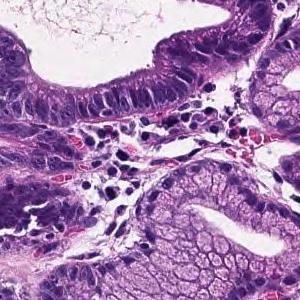
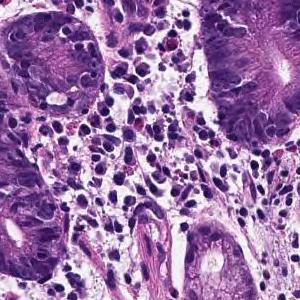
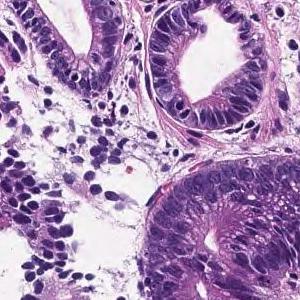
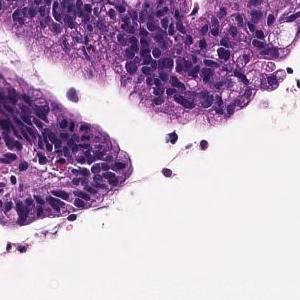
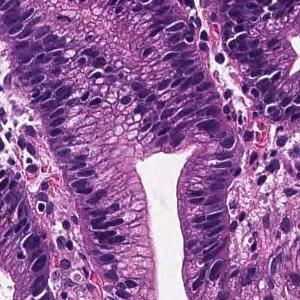
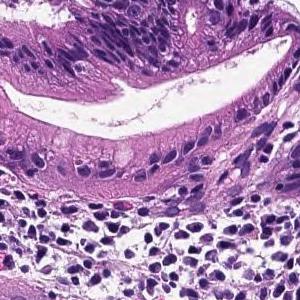
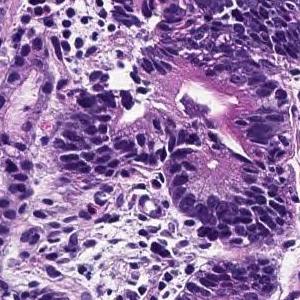
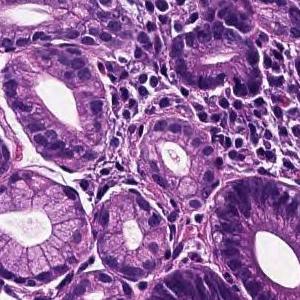
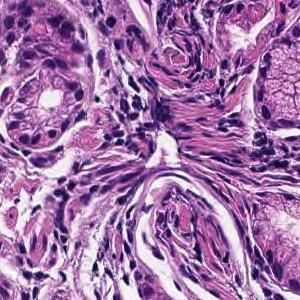
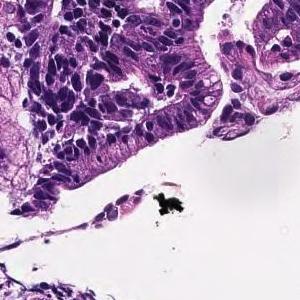
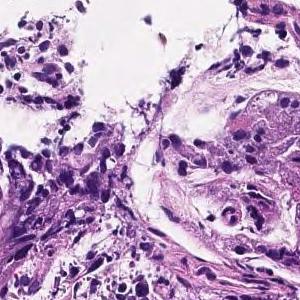
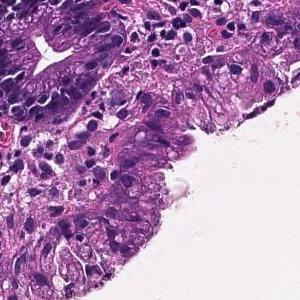
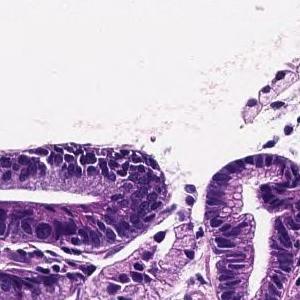
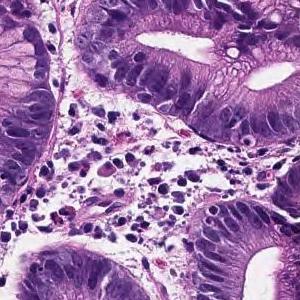
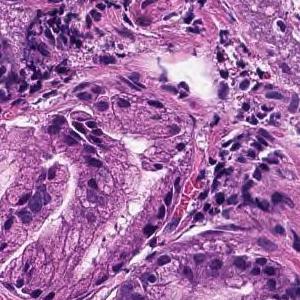
Hematoxylin and eosin stain; scanned at ×20; 15 image tiles from a single gastric biopsy slide.
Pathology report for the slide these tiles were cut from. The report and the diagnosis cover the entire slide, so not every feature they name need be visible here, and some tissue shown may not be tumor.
From the superficial epithelium to the muscularis mucosae, tumor tissue consisting of medium-sized and irregular glandular ducts infiltrating is observed. Well differentiated tubular adenocarcinoma
